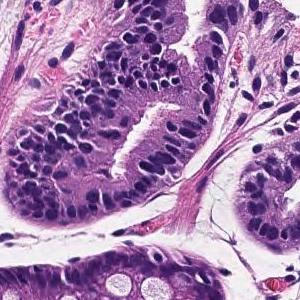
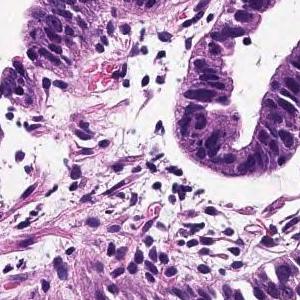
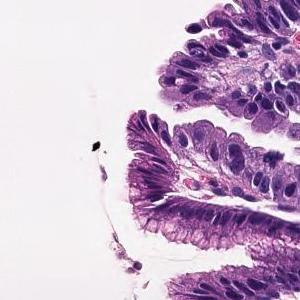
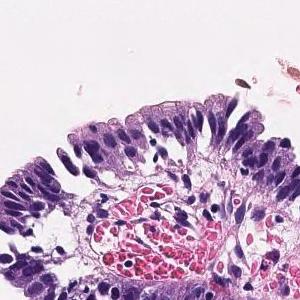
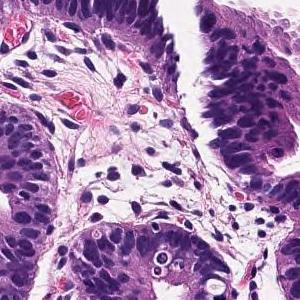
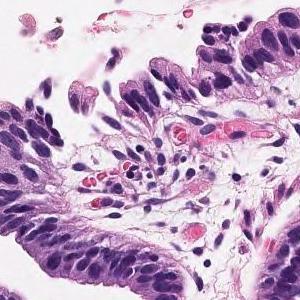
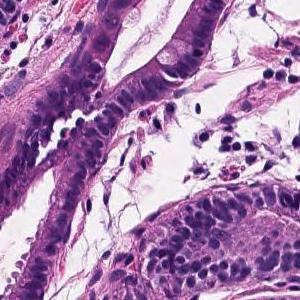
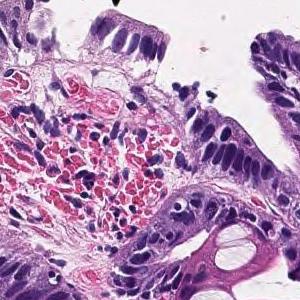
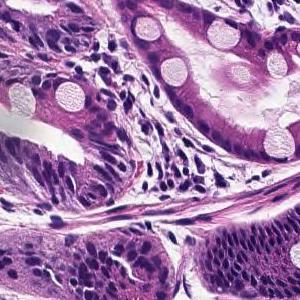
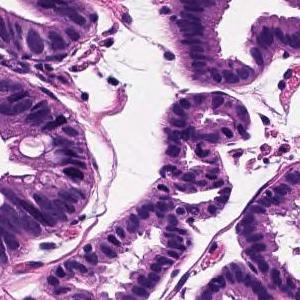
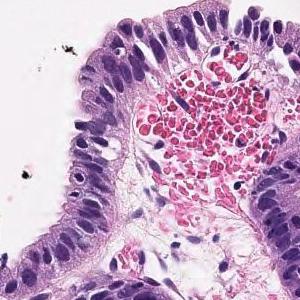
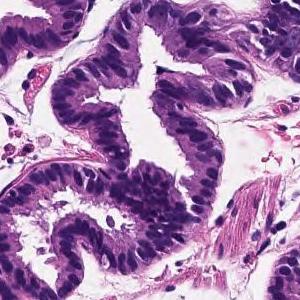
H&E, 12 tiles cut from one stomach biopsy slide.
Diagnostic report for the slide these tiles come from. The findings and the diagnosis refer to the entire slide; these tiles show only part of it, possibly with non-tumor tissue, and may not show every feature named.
Tumor cells are large, highly columnar, large club-shaped nuclei, and are associated with chromatin aggregation. Papillary adenocarcinoma.
